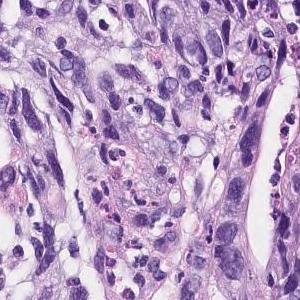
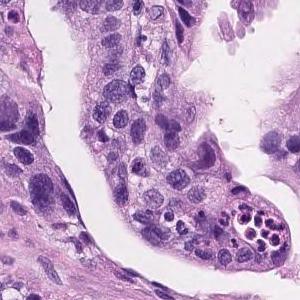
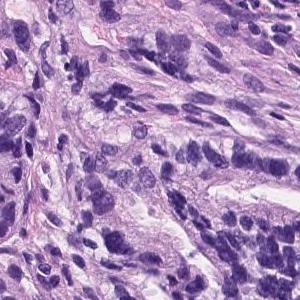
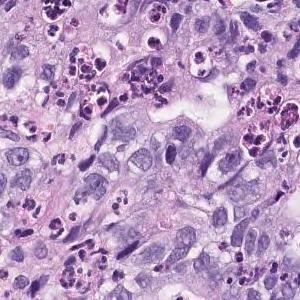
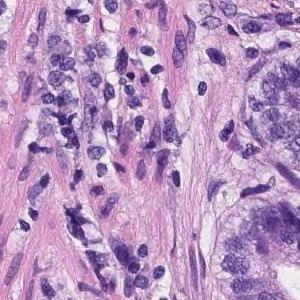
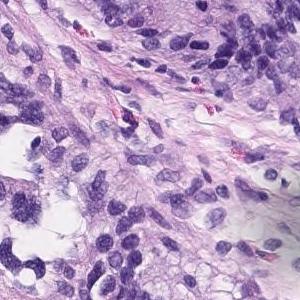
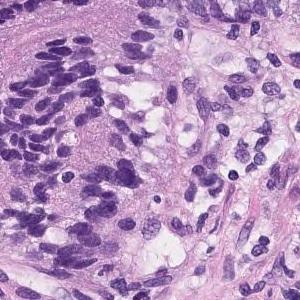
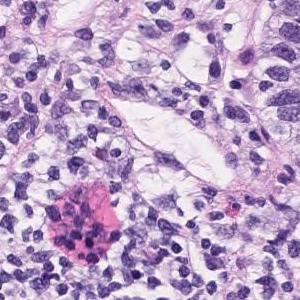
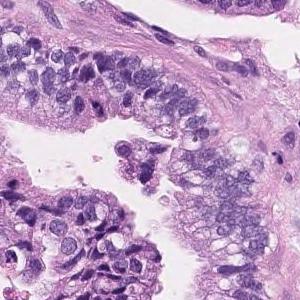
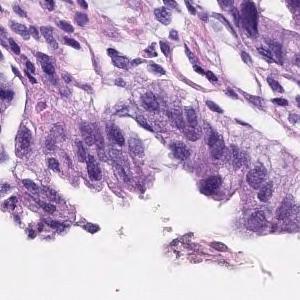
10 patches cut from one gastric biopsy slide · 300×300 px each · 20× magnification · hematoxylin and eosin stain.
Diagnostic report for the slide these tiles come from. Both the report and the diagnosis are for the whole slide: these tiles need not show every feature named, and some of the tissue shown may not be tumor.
Tumor cells are large, highly columnar, large club-shaped nuclei, and are associated with chromatin aggregation. Papillary adenocarcinoma.
